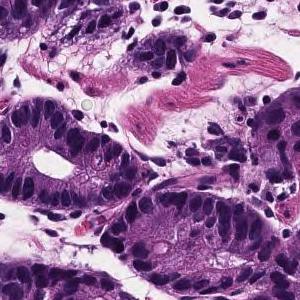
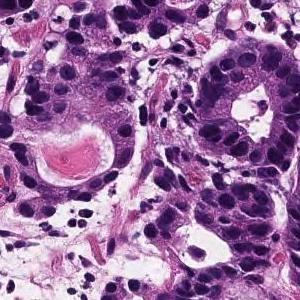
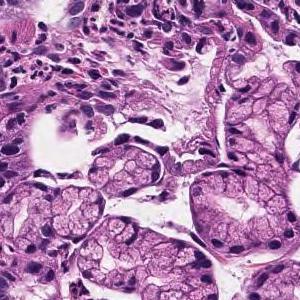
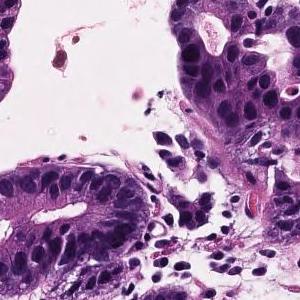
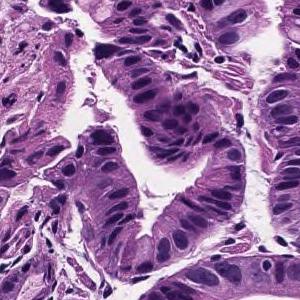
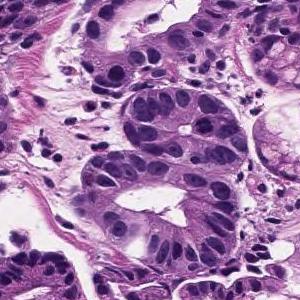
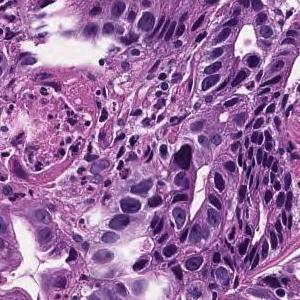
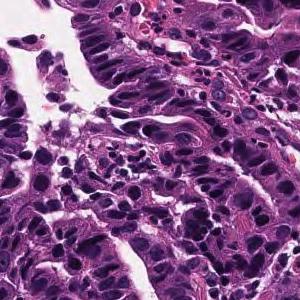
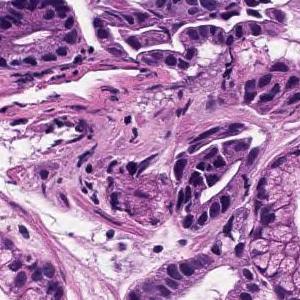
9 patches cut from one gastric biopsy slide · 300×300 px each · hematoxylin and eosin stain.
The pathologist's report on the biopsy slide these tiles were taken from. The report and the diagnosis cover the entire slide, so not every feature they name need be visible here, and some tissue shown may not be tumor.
In the superficial epithelium, tumor tissue that invades by forming medium-sized to small, irregular ducts is observed. Well differentiated tubular adenocarcinoma.
